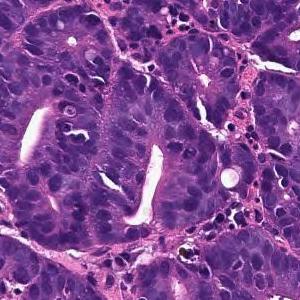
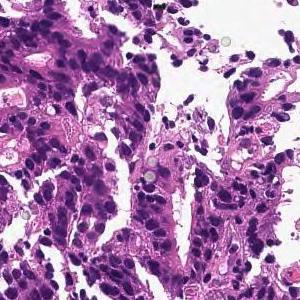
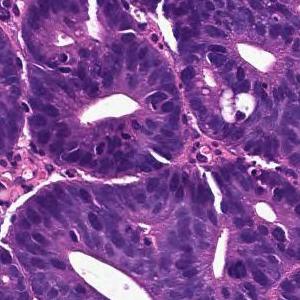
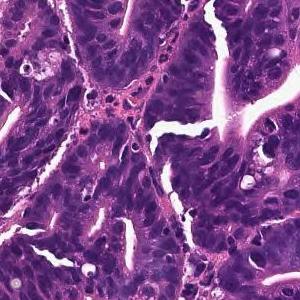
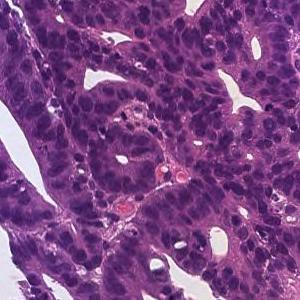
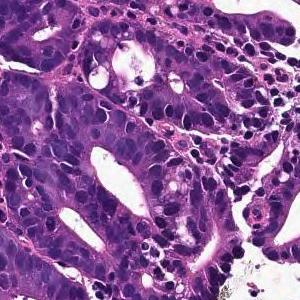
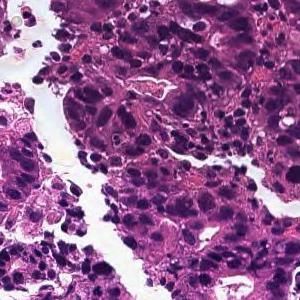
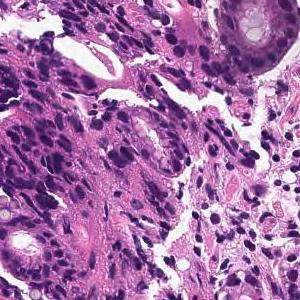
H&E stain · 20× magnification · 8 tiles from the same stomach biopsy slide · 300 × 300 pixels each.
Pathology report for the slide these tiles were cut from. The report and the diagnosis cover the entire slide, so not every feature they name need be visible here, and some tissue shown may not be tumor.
On the superficial epithelium, tumor tissue consisting of large irregular glandular ducts partially fused and infiltrated is observed. Well to moderately differentiated tubular adenocarcinoma (well differentiated tubular adenocarcinoma, moderately differentiated tubular adenocarcinoma)
Tumor subtype: well to moderately differentiated tubular adenocarcinoma.
